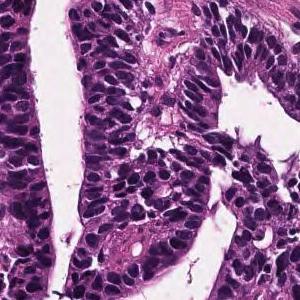
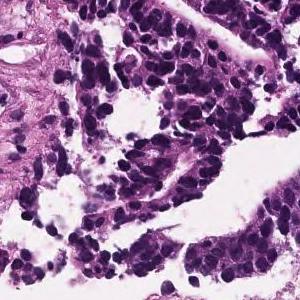
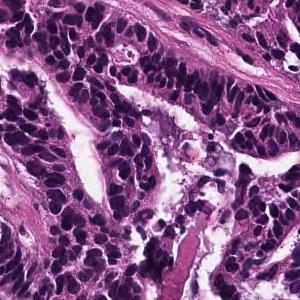
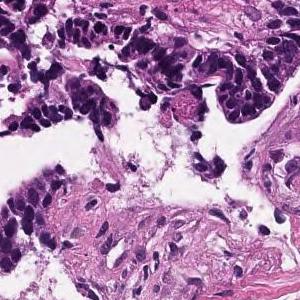
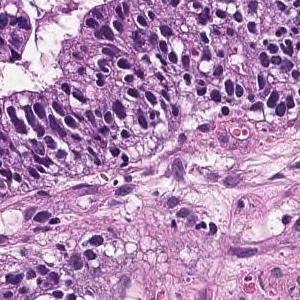
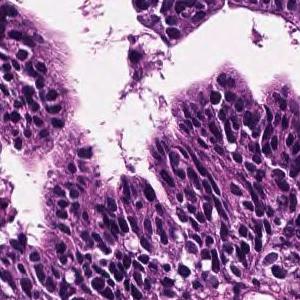
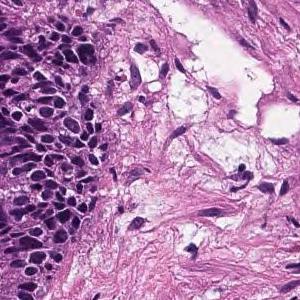
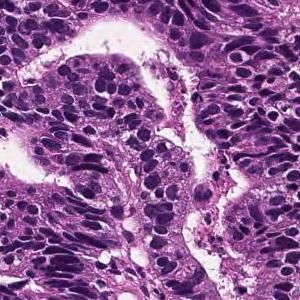
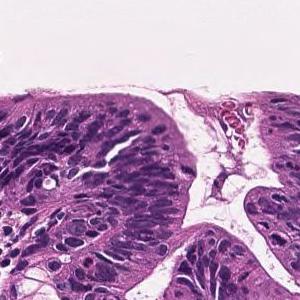
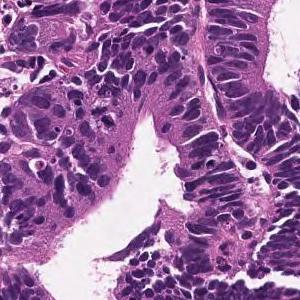
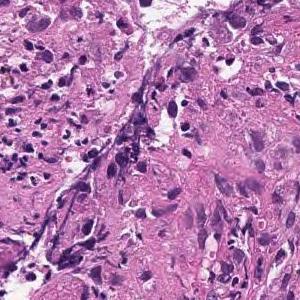
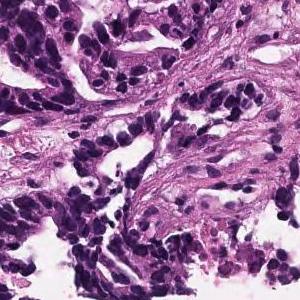
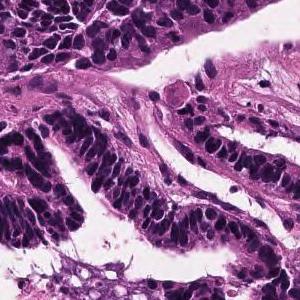
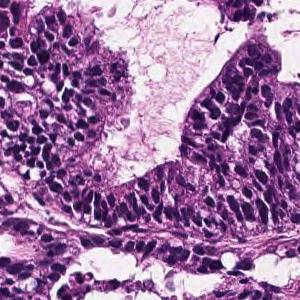
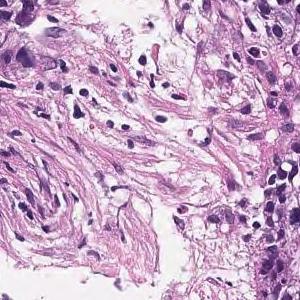
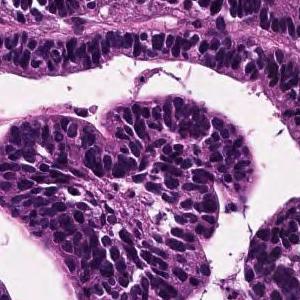
H&E; 16 patches cut from one gastric biopsy slide; each 300 × 300 pixels.
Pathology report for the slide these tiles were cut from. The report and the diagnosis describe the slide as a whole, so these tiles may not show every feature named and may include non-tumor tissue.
In the superficial epithelium, tumor tissue that invades by forming medium-sized to small, irregular ducts is observed. Well differentiated tubular adenocarcinoma.
